H&E, scanned at ×20, 5 tiles from the same stomach biopsy slide, 300×300 px each.
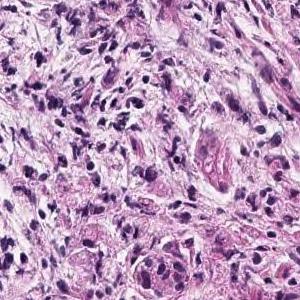
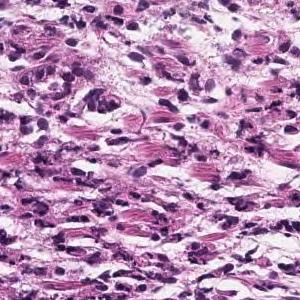
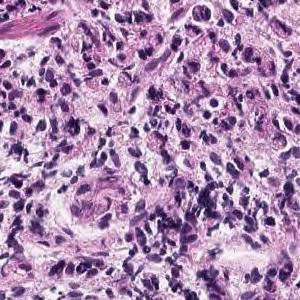
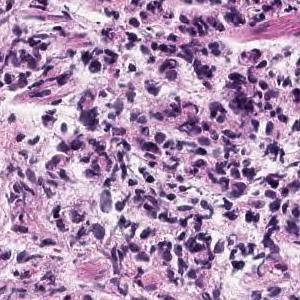
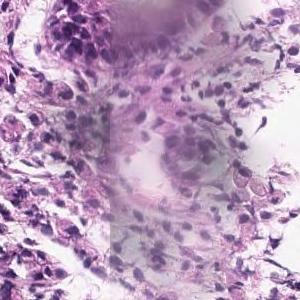
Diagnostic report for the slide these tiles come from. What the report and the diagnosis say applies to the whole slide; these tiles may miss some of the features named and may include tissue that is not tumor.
In the lamina propria, a tumor tissue consisting of signet ring cell type atypical epithelial cells infiltrating is observed. Signet ring cell carcinoma.
